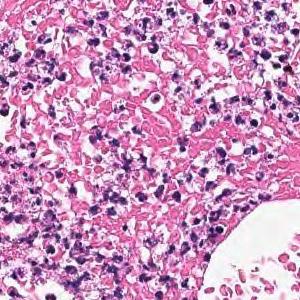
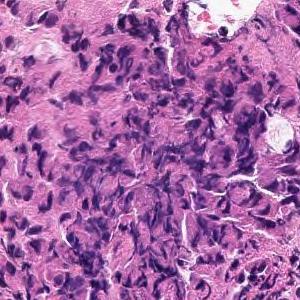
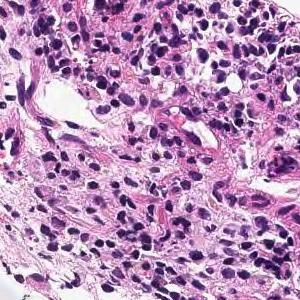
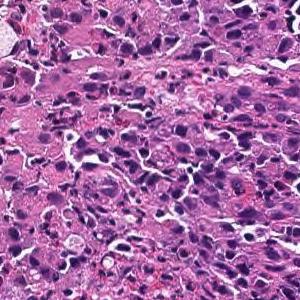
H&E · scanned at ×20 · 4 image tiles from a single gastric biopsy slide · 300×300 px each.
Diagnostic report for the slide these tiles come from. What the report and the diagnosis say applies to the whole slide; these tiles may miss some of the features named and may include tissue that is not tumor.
Tumor tissue consisting of diffusely infiltrated large atypical epithelial cells or signet ring atypical cells is observed in the superficial epithelium. Poorly differentiated adenocarcinoma, solid-type
Tumor subtype: poorly differentiated adenocarcinoma, solid type, a category of the Japanese Classification of Gastric Carcinoma; in the WHO 2019 classification it is tubular adenocarcinoma, poorly differentiated.
